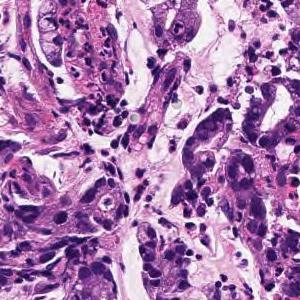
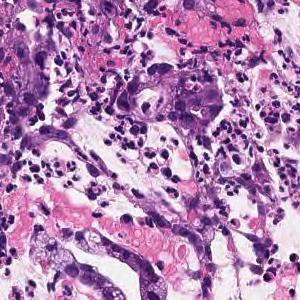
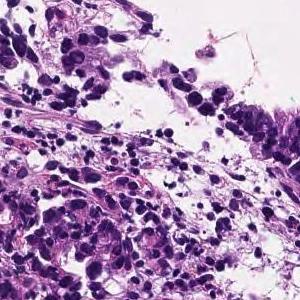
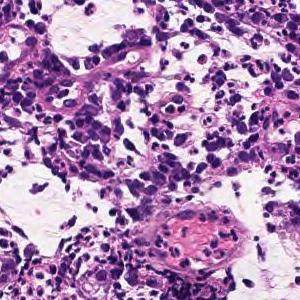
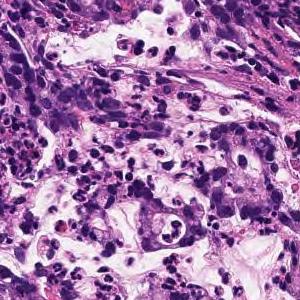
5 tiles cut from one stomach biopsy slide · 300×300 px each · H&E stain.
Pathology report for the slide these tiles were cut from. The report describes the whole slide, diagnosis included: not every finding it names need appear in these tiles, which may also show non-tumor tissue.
On the superficial epithelium, tumor tissue consisting of large, irregular glandular ducts partially fused and infiltrated is observed. Well to moderately differentiated tubular adenocarcinoma (well differentiated tubular adenocarcinoma, moderately differentiated tubular adenocarcinoma)
Histologic type: Well to moderately differentiated tubular adenocarcinoma.
